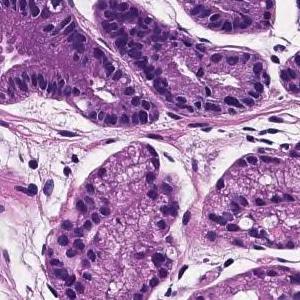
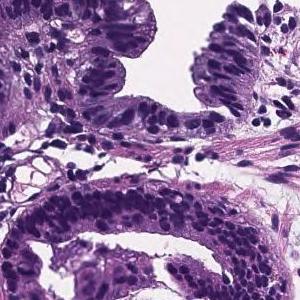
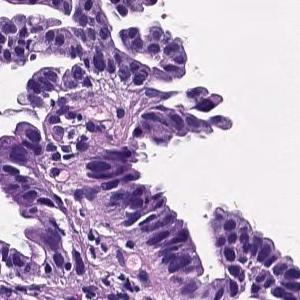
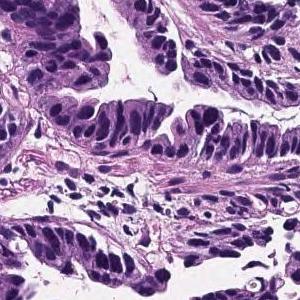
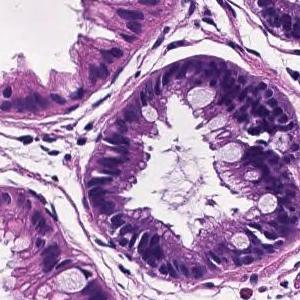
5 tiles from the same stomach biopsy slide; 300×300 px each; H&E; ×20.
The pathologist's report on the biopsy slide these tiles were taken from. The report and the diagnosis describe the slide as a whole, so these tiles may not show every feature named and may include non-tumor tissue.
Tumor cells are large, highly columnar, large club-shaped nuclei, and are associated with chromatin aggregation. Papillary adenocarcinoma.
